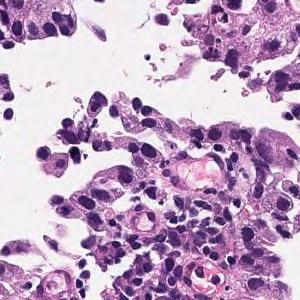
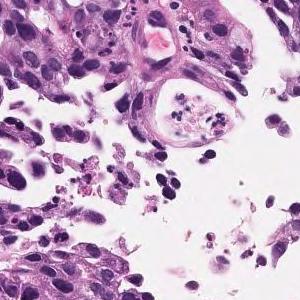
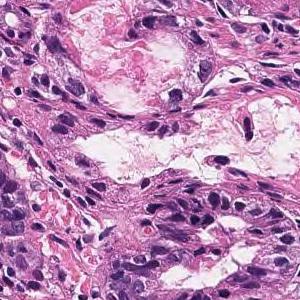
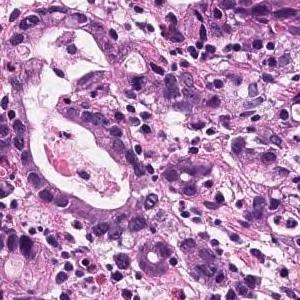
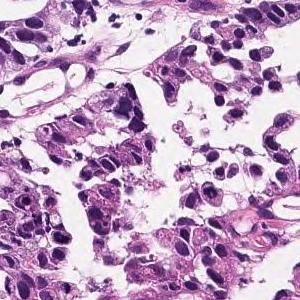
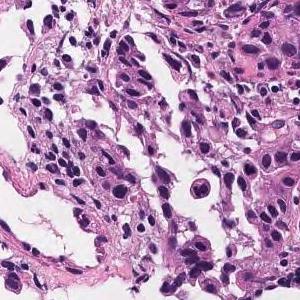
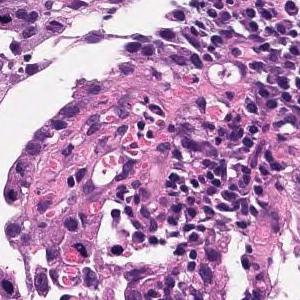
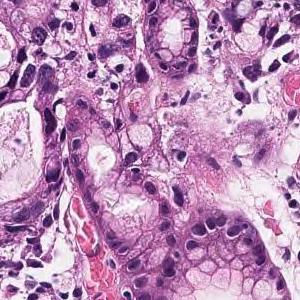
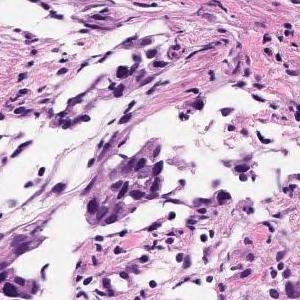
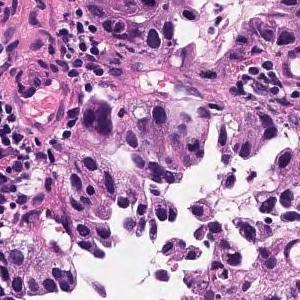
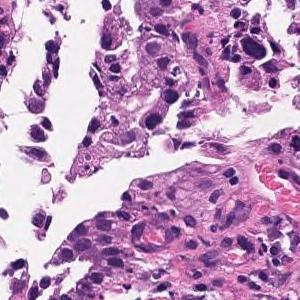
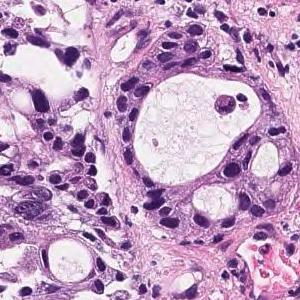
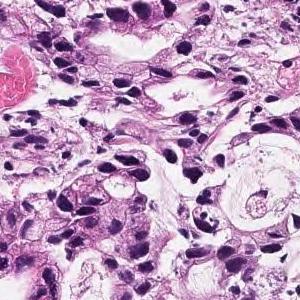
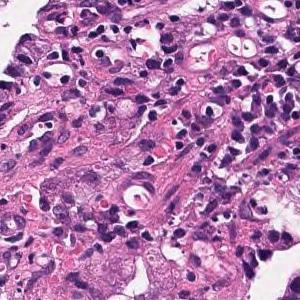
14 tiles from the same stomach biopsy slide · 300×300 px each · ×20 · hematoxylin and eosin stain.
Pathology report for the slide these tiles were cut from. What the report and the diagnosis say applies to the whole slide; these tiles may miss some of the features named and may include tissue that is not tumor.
In the superficial epithelium, tumor tissue that invades by forming medium-sized to small, irregular ducts is observed. Moderately differentiated adenocarcinoma.
Subtype: Moderately differentiated tubular adenocarcinoma.
